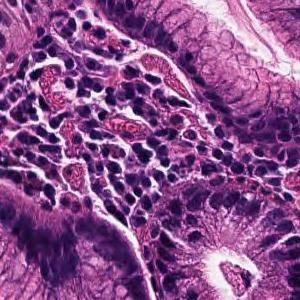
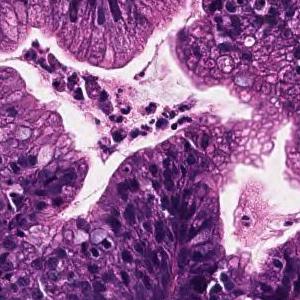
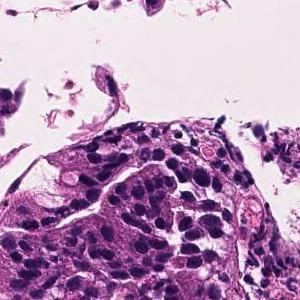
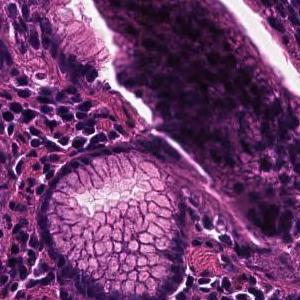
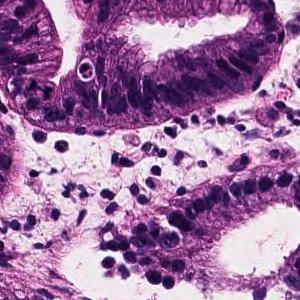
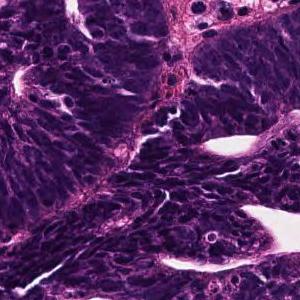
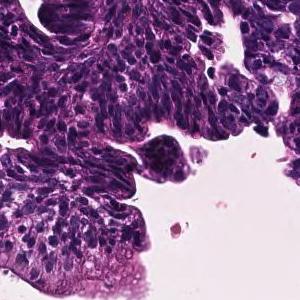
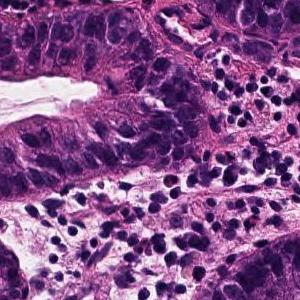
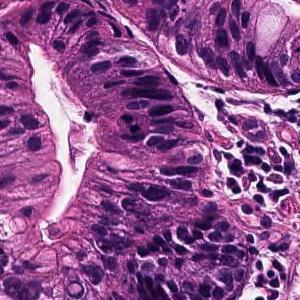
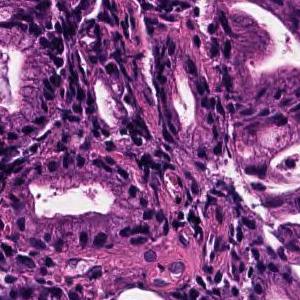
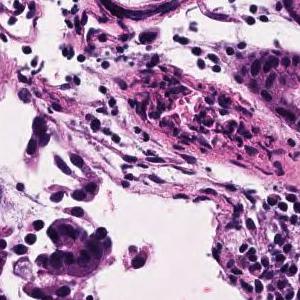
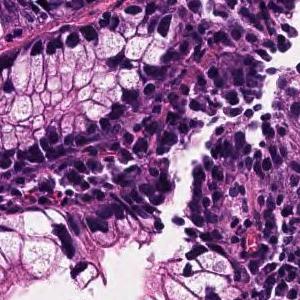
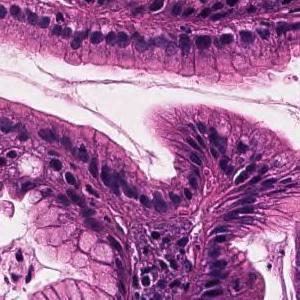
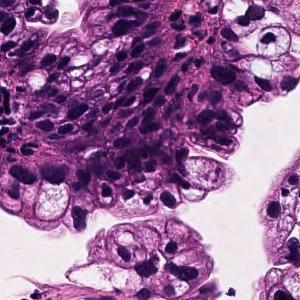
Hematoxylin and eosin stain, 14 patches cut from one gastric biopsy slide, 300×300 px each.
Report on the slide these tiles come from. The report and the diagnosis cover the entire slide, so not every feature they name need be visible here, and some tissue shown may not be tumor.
Tumor cells are large, highly columnar, large club-shaped nuclei, and are associated with chromatin aggregation. Papillary adenocarcinoma.
